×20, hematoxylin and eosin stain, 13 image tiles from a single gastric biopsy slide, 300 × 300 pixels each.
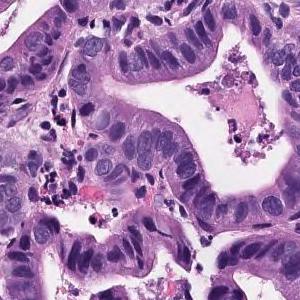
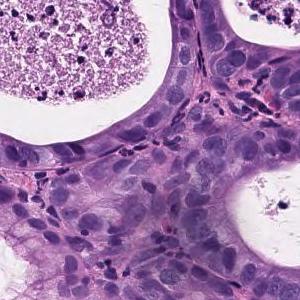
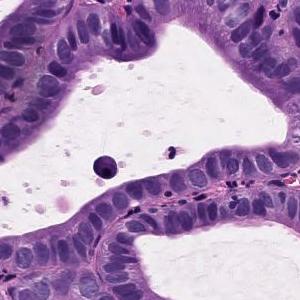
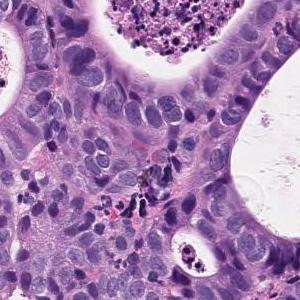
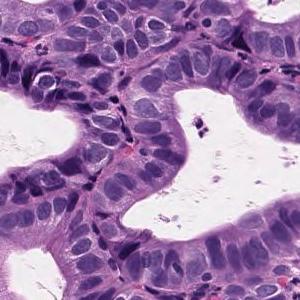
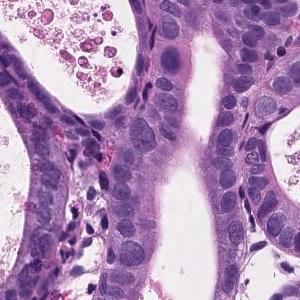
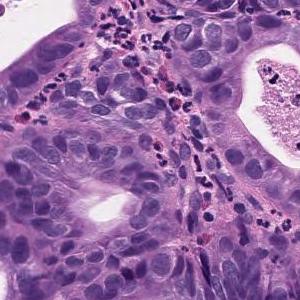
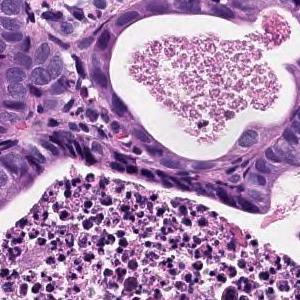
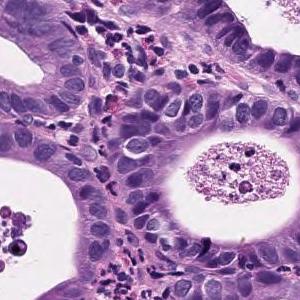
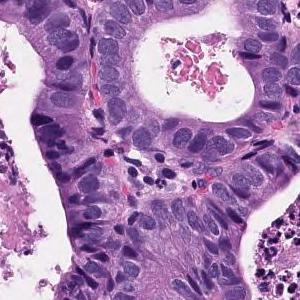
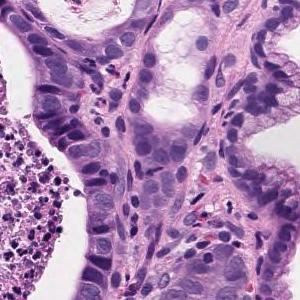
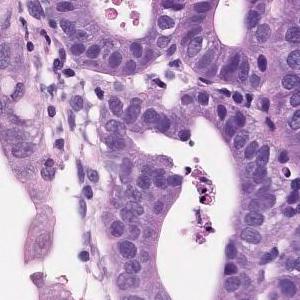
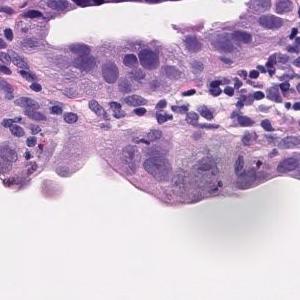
Pathology report for the slide these tiles were cut from. The report and the diagnosis describe the slide as a whole, so these tiles may not show every feature named and may include non-tumor tissue.
Tumor tissue consisting of proliferative medium to large, round or irregular glandular ducts in the superficial epithelium. Well differentiated adenocarcinoma.
Tumor subtype: well differentiated tubular adenocarcinoma.
